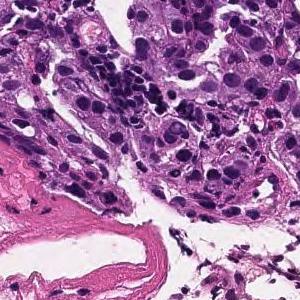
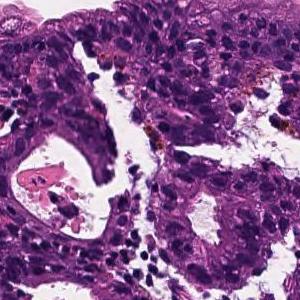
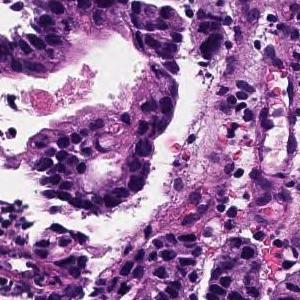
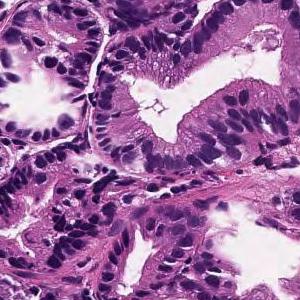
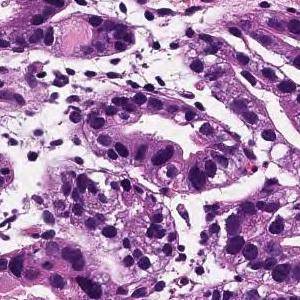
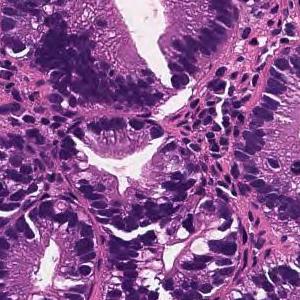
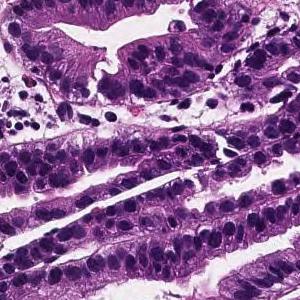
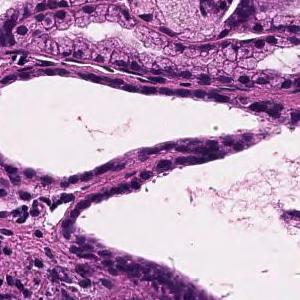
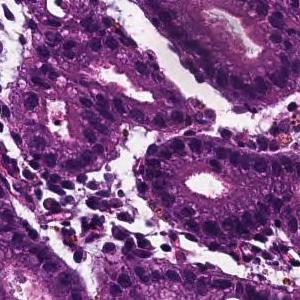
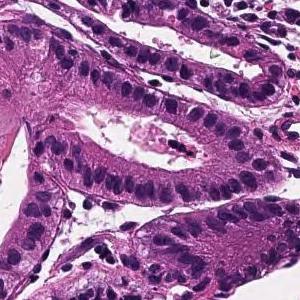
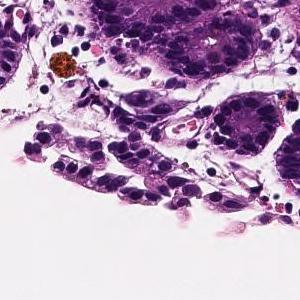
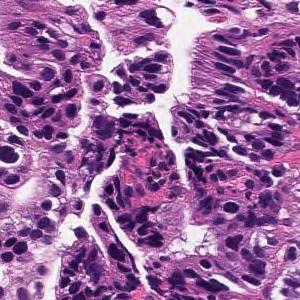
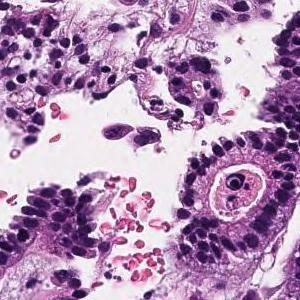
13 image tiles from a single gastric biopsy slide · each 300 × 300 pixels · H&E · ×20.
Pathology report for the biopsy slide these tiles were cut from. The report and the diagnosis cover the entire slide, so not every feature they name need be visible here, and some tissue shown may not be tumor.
From the superficial epithelium to the muscularis mucosae, tumor tissue consisting of medium-sized and irregular glandular ducts infiltrating is observed. Well differentiated tubular adenocarcinoma
